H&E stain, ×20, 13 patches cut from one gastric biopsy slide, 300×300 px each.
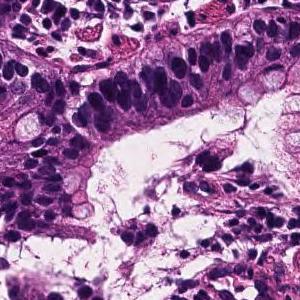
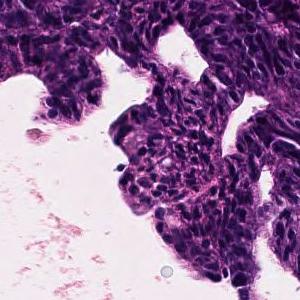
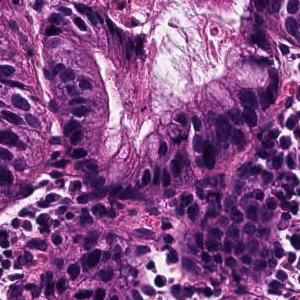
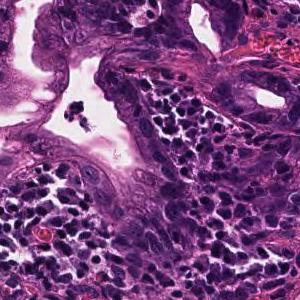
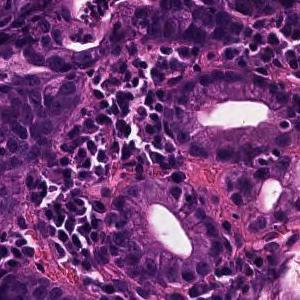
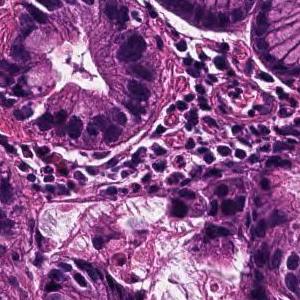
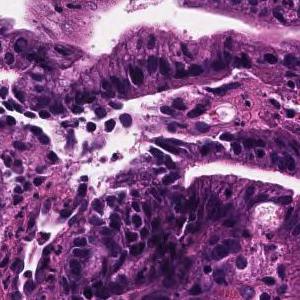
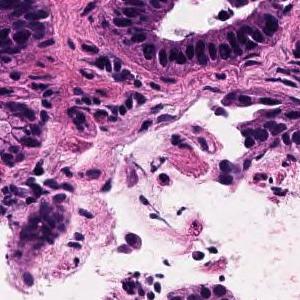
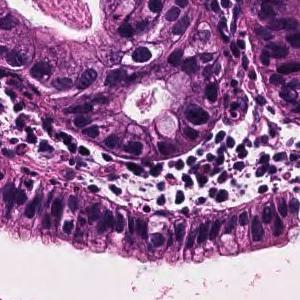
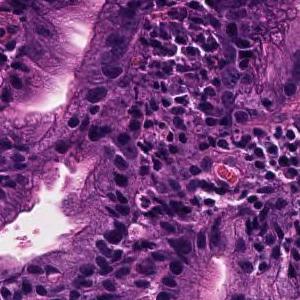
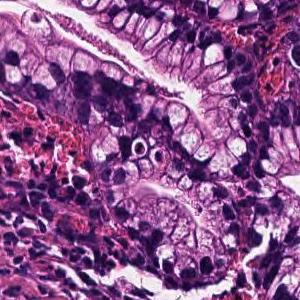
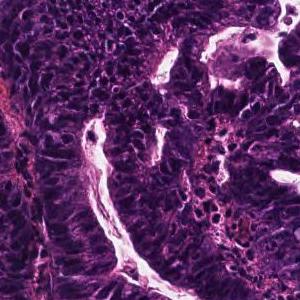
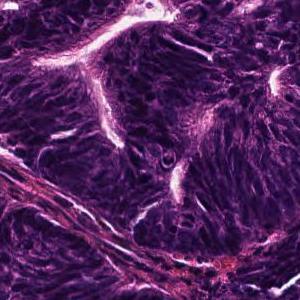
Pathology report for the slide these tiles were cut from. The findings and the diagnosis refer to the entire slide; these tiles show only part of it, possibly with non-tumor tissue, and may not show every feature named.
Tumor cells are large, highly columnar, large club-shaped nuclei, and are associated with chromatin aggregation. Papillary adenocarcinoma.
